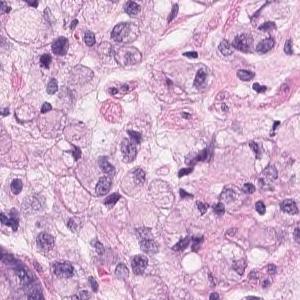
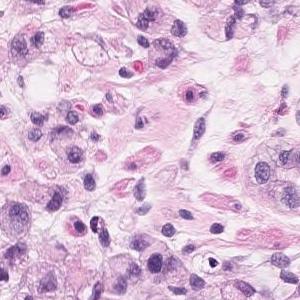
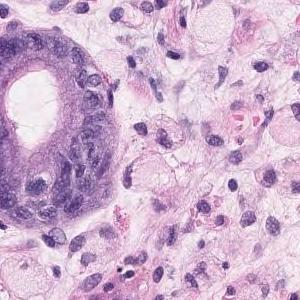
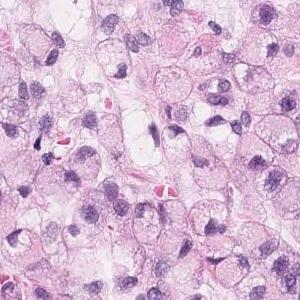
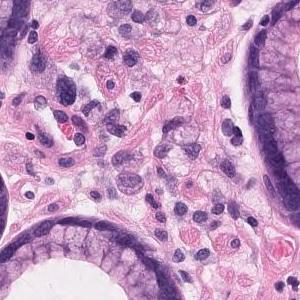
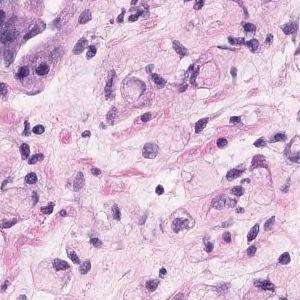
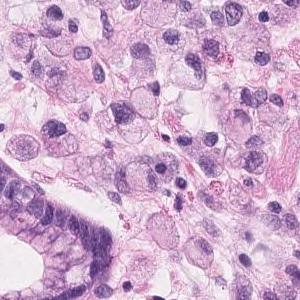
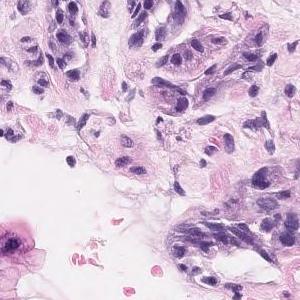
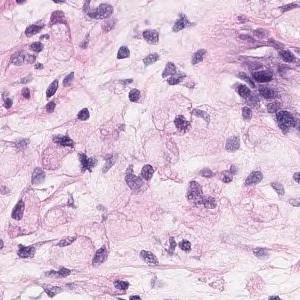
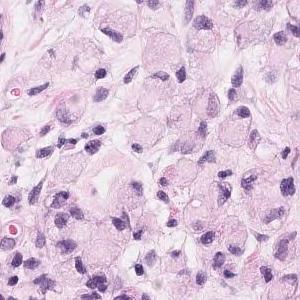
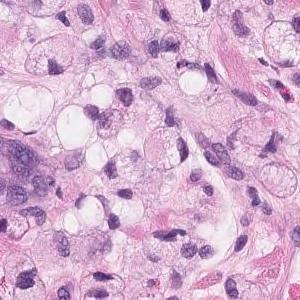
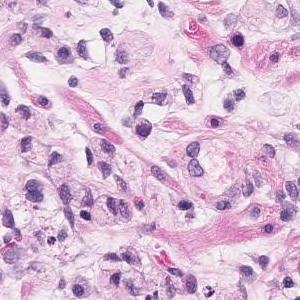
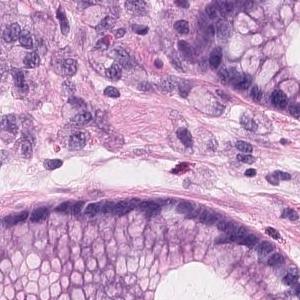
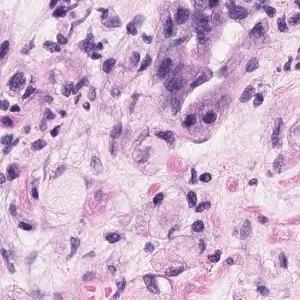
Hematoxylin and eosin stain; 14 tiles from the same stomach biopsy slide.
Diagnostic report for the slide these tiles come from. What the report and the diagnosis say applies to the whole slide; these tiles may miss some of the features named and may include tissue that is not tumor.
In the lamina propria, atypical epithelial cells that store mucus and lack connectivity proliferate diffusely. Adenocarcinoma. Signet ring cell carcinoma.
